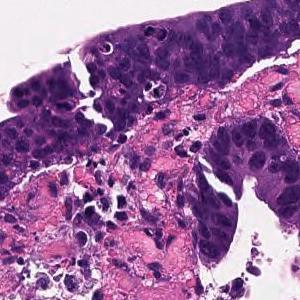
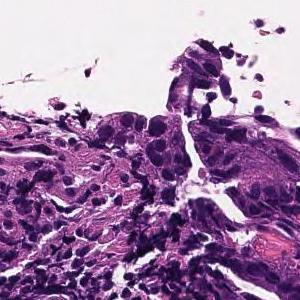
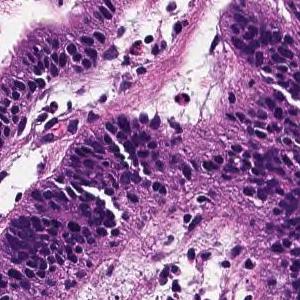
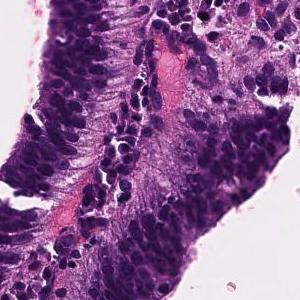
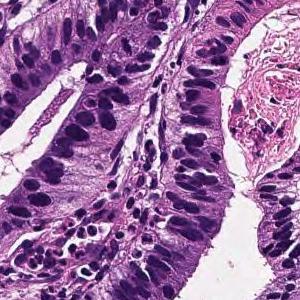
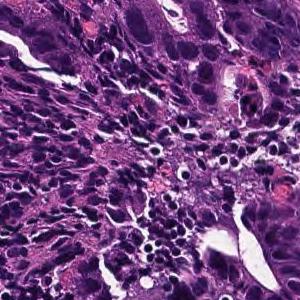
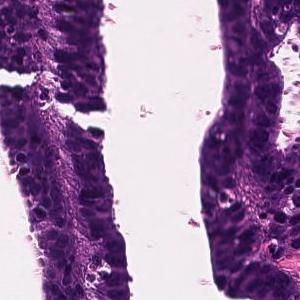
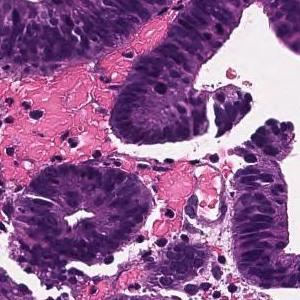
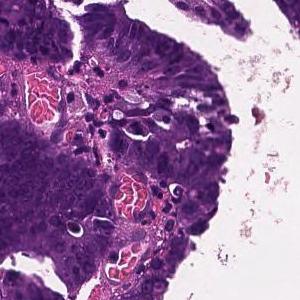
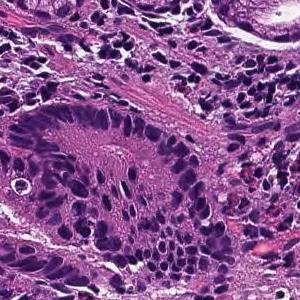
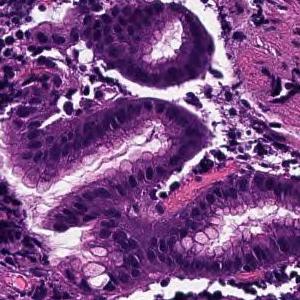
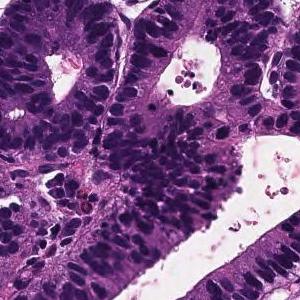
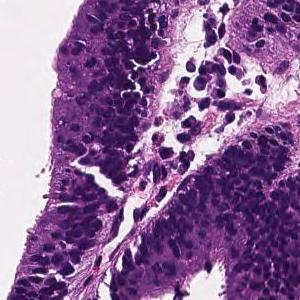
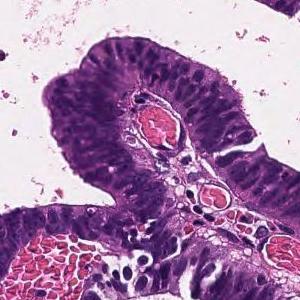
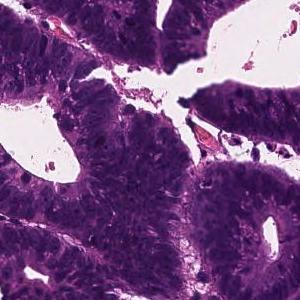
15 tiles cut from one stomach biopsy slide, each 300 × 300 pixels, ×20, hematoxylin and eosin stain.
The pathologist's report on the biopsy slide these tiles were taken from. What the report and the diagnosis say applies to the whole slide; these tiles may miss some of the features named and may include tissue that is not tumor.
Tumor tissue consisting of large papillary structures is found in the superficial epithelium. Papillary adenocarcinoma.
